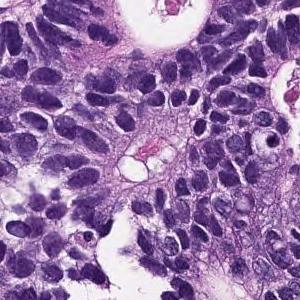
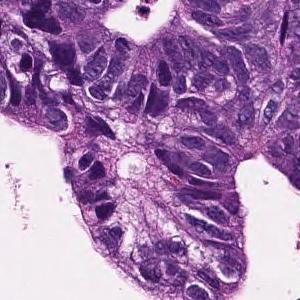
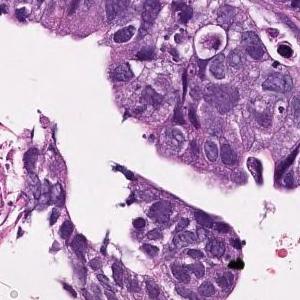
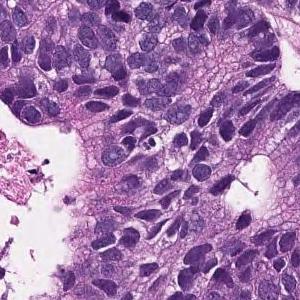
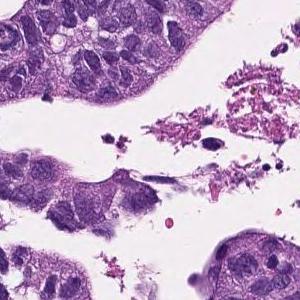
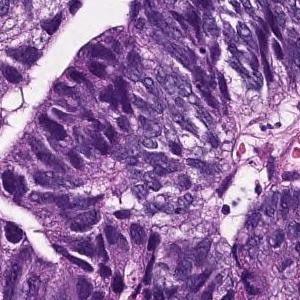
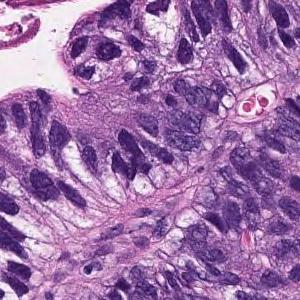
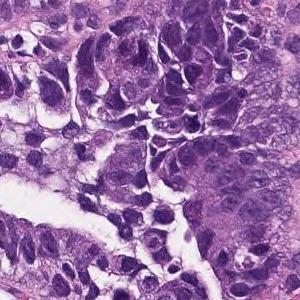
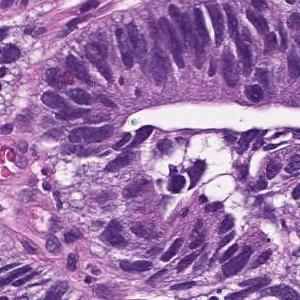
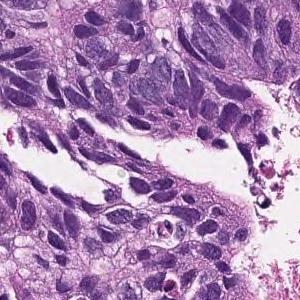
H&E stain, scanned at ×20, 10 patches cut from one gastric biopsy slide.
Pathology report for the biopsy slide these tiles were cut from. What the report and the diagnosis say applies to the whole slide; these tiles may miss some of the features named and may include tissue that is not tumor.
In the superficial epithelium, tumor tissue that invades by forming medium-sized to small, irregular ducts is observed. moderately differentiated tubular adenocarcinoma.
